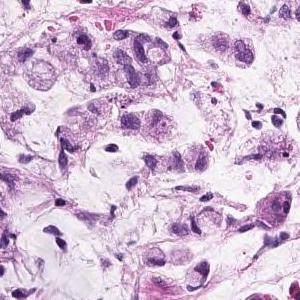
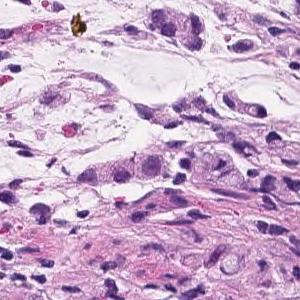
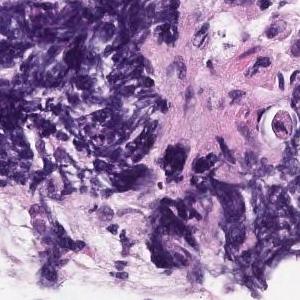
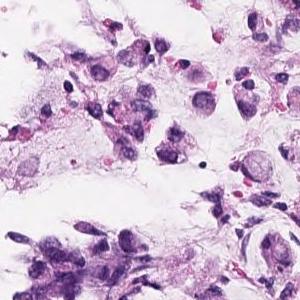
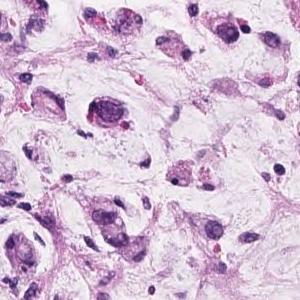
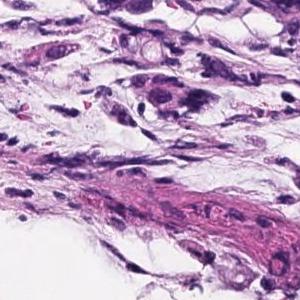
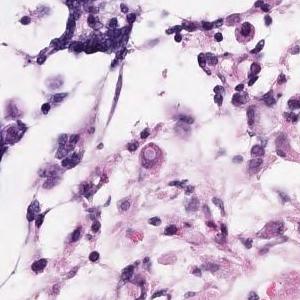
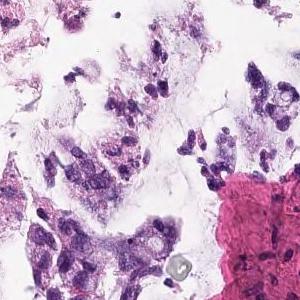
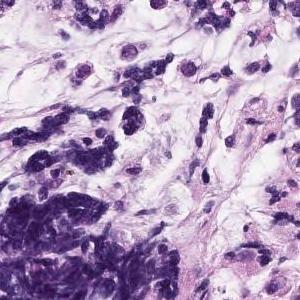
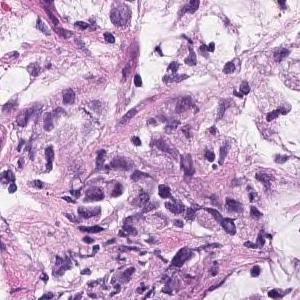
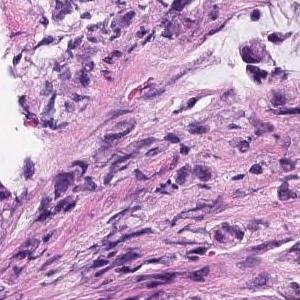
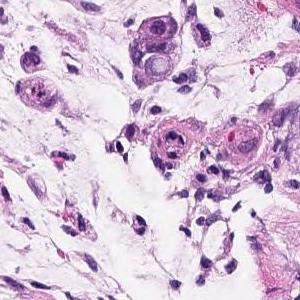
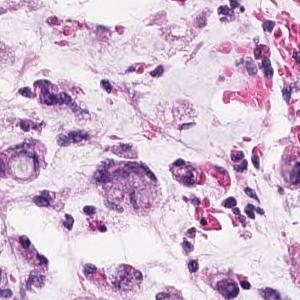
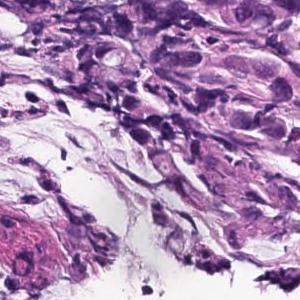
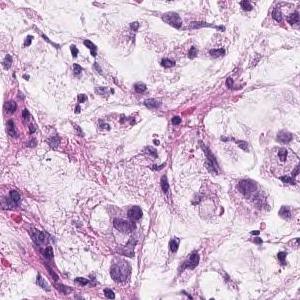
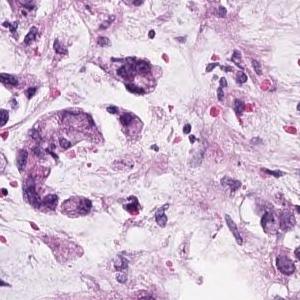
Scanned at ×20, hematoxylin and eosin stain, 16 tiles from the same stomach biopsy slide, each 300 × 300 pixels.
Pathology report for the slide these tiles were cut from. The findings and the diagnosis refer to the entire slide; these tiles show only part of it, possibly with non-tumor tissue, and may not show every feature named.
Poorly connected atypical epithelium with mucous vacuoles in the cytoplasm proliferating while floating with mucus accumulation outside the cell is observed. Mucinous adenocarcinoma
